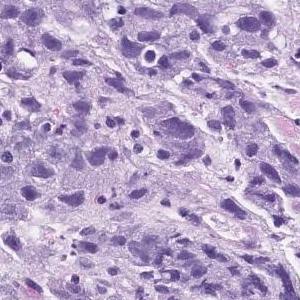
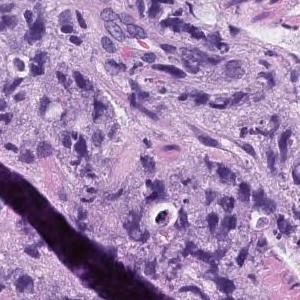
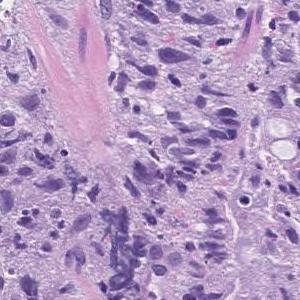
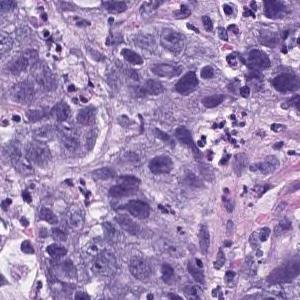
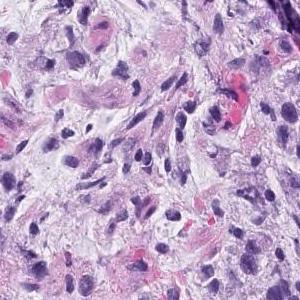
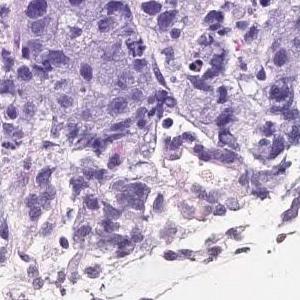
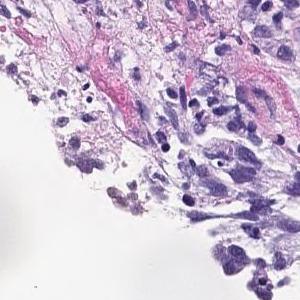
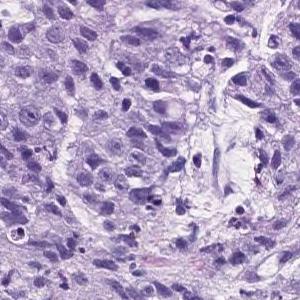
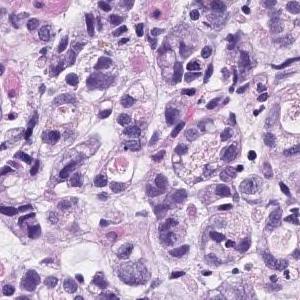
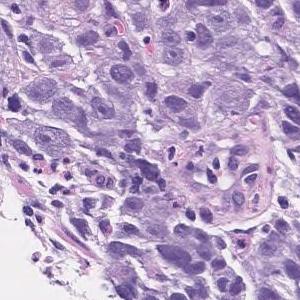
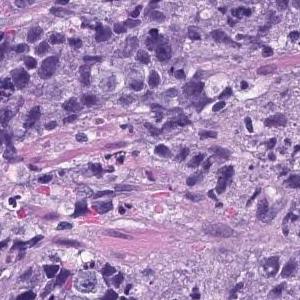
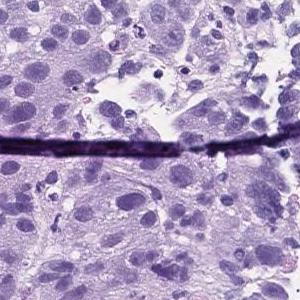
12 tiles from the same stomach biopsy slide, each 300 × 300 pixels, 20× magnification, H&E stain.
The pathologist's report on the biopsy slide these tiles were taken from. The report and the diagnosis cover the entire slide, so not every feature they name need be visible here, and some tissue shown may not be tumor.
Atypical l cells with atypical nuclei forming solid vesicles or small irregular atypical ducts that proliferate in a complex manner. poorly differentiated adenocarcinoma, solid type, moderately differentiated tubular adenocarcinoma
The term "solid type" comes from the Japanese Classification of Gastric Carcinoma; the WHO 2019 equivalent is tubular adenocarcinoma, poorly differentiated.
